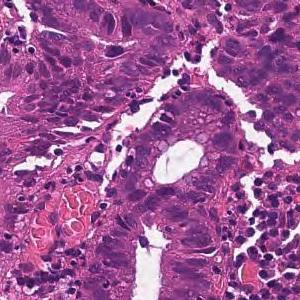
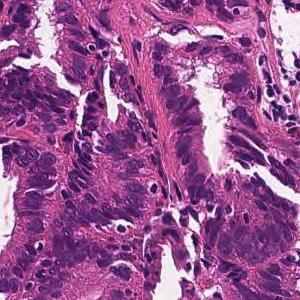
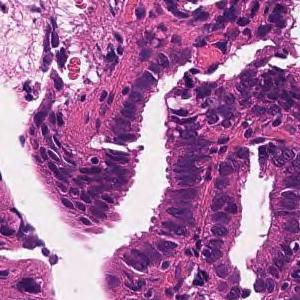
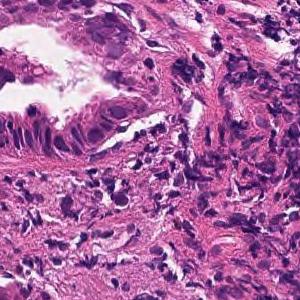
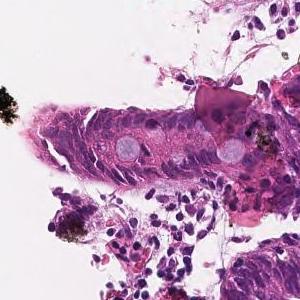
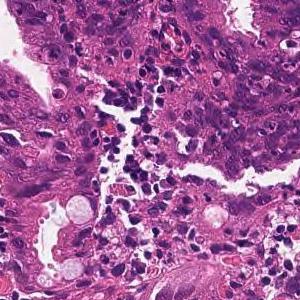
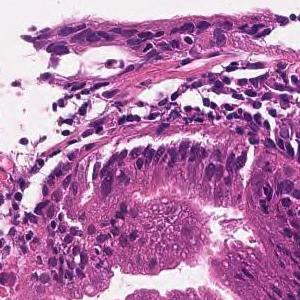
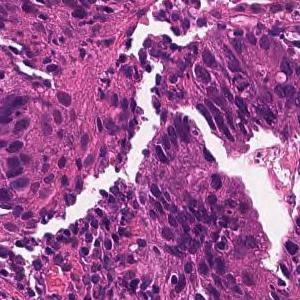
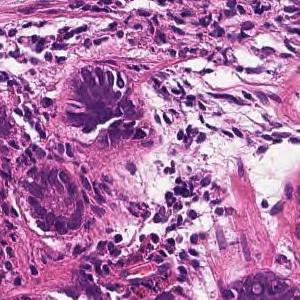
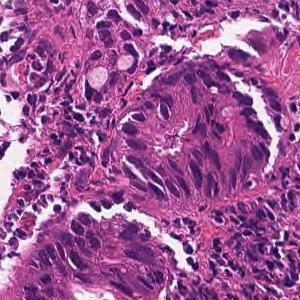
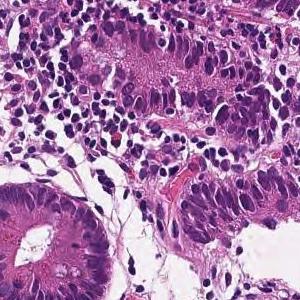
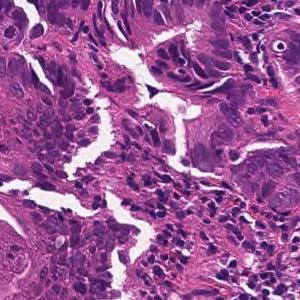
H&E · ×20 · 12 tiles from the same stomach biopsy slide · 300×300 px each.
The pathologist's report on the biopsy slide these tiles were taken from. The report describes the whole slide, diagnosis included: not every finding it names need appear in these tiles, which may also show non-tumor tissue.
From the superficial epithelium to the muscularis mucosae, tumor tissue infiltrating by forming medium-sized irregular gland ducts is observed. Large tumor cells exhibit large nucleus and hyperchromatism. Well differentiated tubular adenocarcinoma
